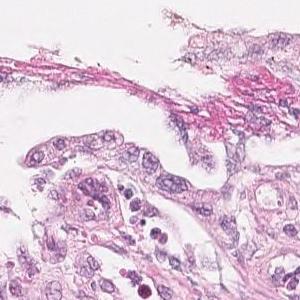
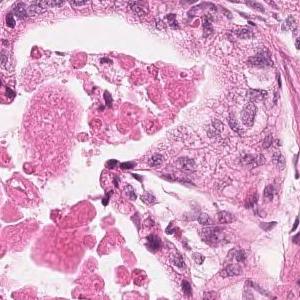
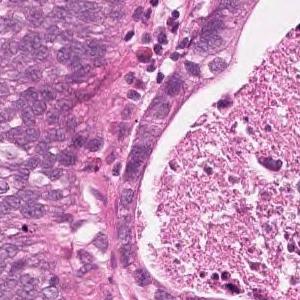
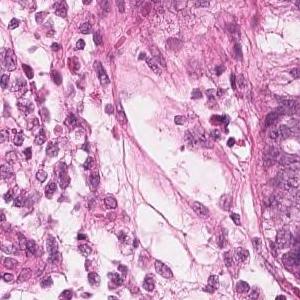
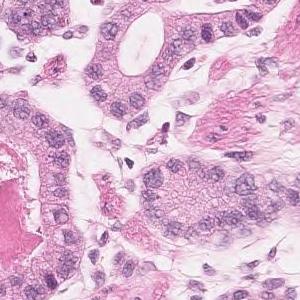
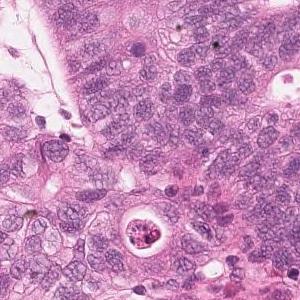
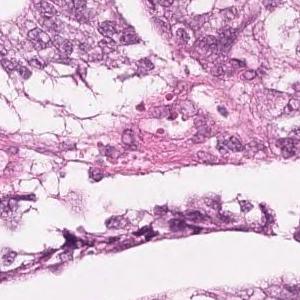
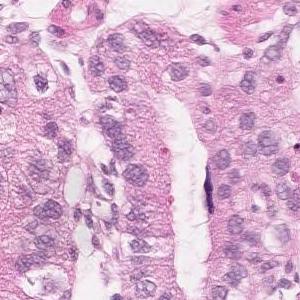
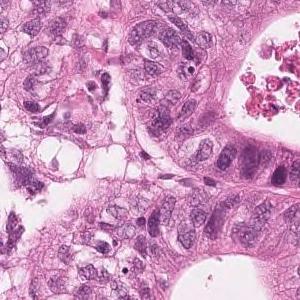
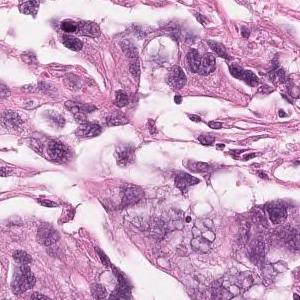
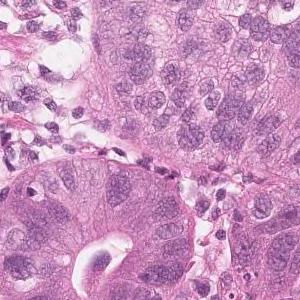
H&E stain; 11 tiles from the same stomach biopsy slide; each 300 × 300 pixels.
Pathology report for the biopsy slide these tiles were cut from. What the report and the diagnosis say applies to the whole slide; these tiles may miss some of the features named and may include tissue that is not tumor.
Highly columnar epithelium with disordered nuclear localization proliferates showing fusion ductal construction. moderately differentiated tubular adenocarcinoma
